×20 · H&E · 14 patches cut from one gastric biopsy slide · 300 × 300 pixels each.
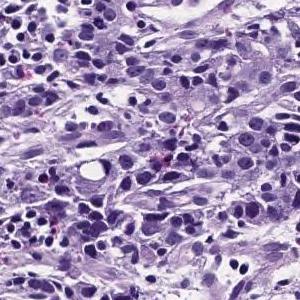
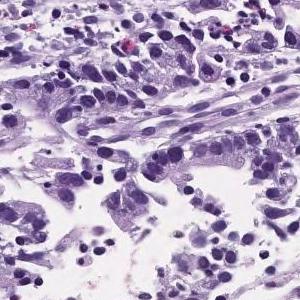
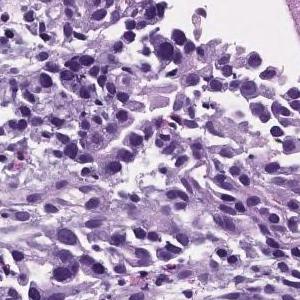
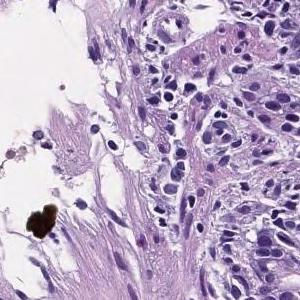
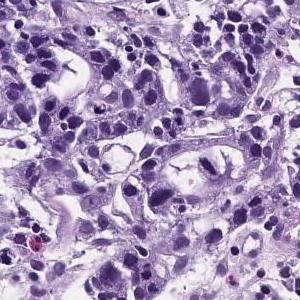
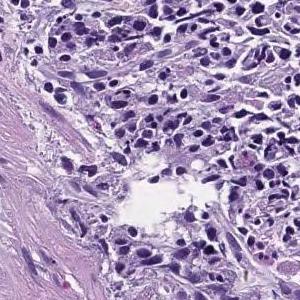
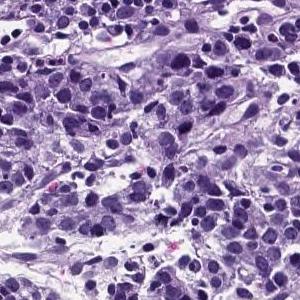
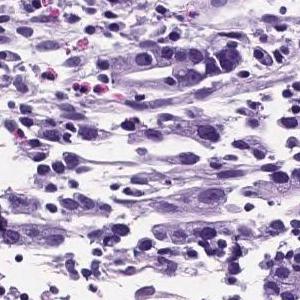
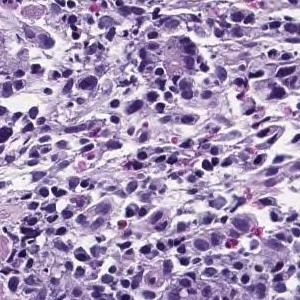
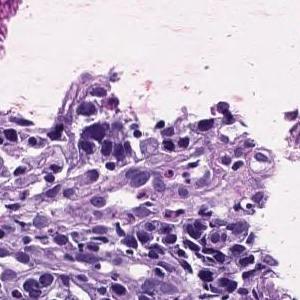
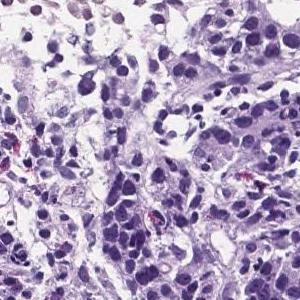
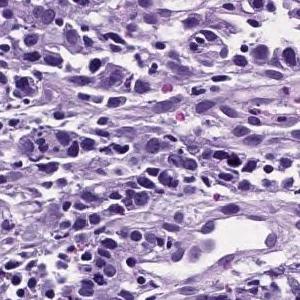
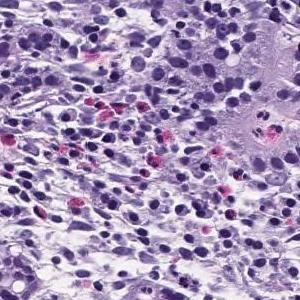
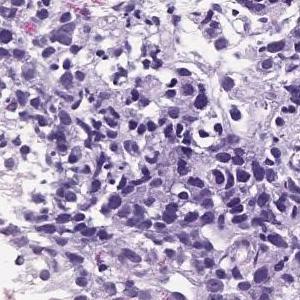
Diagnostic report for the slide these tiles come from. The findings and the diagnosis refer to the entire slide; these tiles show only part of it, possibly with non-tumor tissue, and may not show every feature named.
Tumor tissue consisting of medium-sized, cord-like or irregular glandular infiltration is observed in the superficial epithelium. Poorly differentiated adenocarcinoma, non-solid type or moderately differentiated tubular adenocarcinoma
Tumor subtype: moderately to poorly differentiated adenocarcinoma.
The non-solid type named here is a Japanese Classification of Gastric Carcinoma category.
